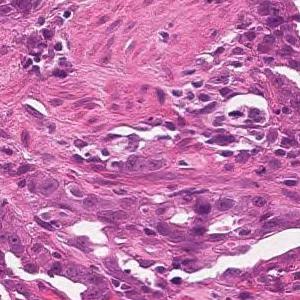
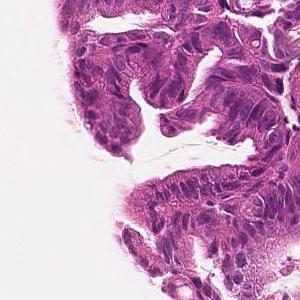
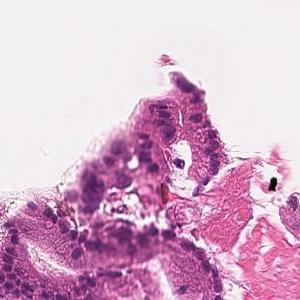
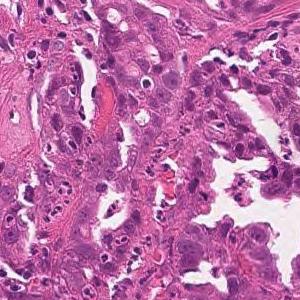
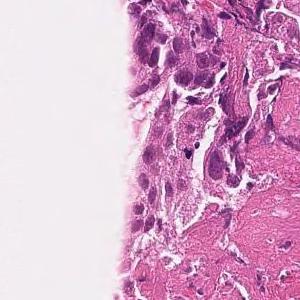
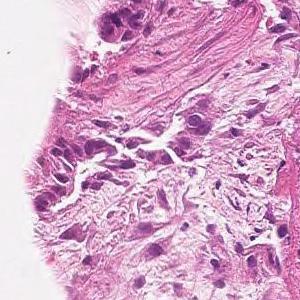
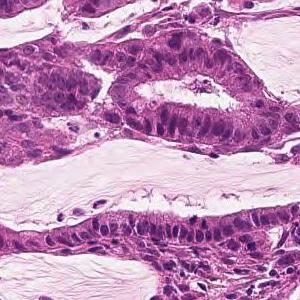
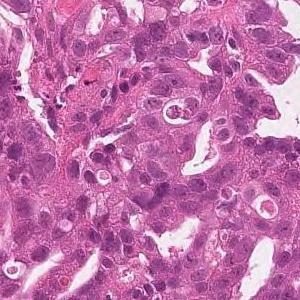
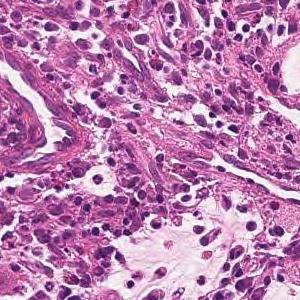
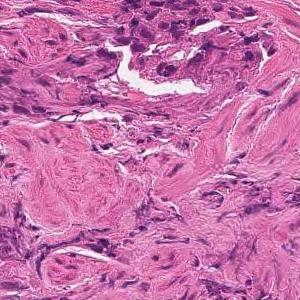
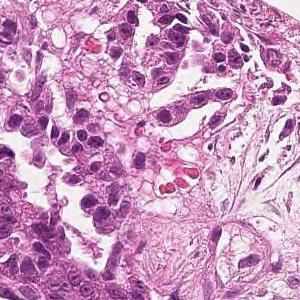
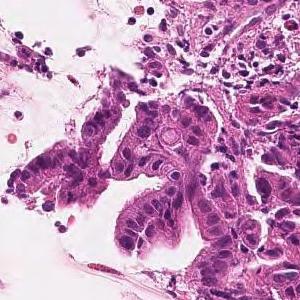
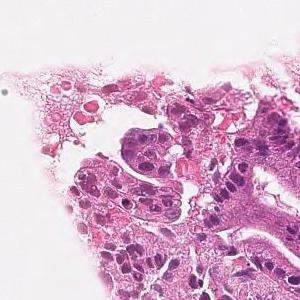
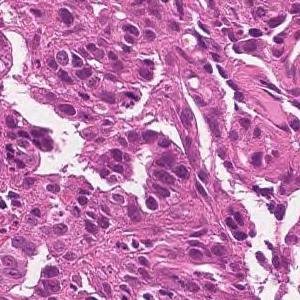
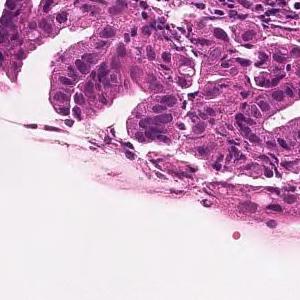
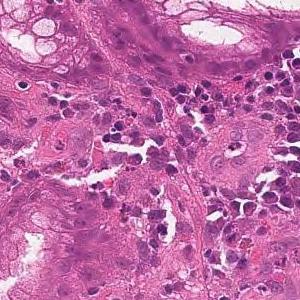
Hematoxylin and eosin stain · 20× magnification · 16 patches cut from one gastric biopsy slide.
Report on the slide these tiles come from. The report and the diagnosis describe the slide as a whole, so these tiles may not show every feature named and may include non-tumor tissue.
Tumor tissue consisting of large papillary structures is found in the superficial epithelium. Papillary adenocarcinoma.
